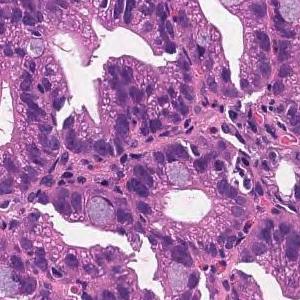
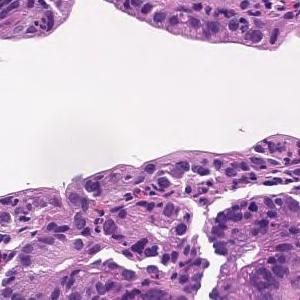
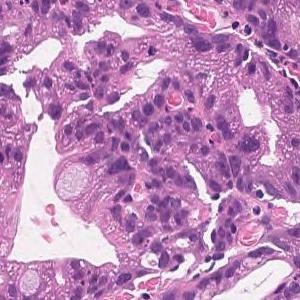
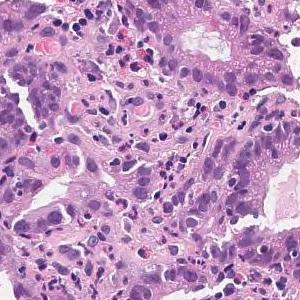
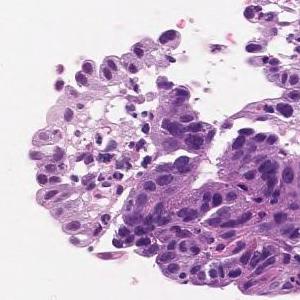
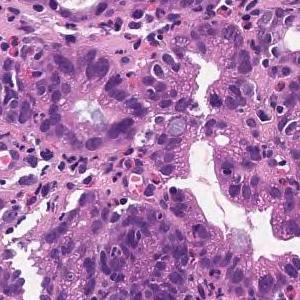
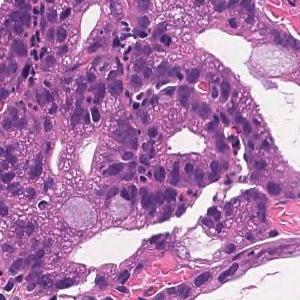
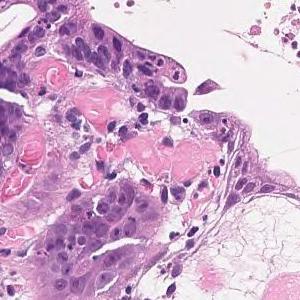
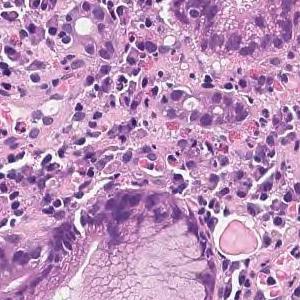
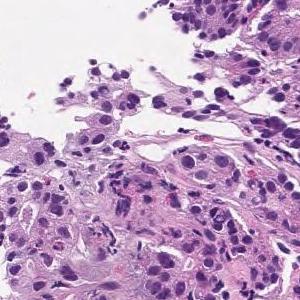
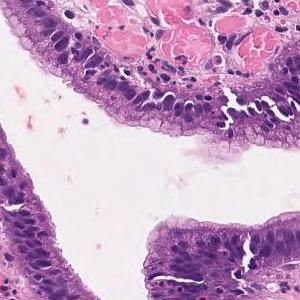
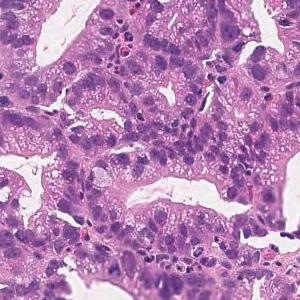
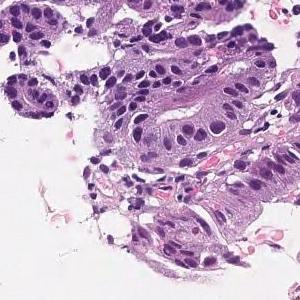
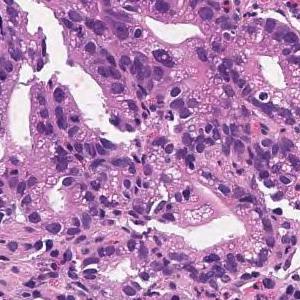
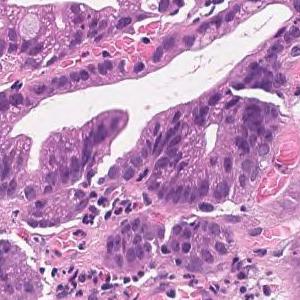
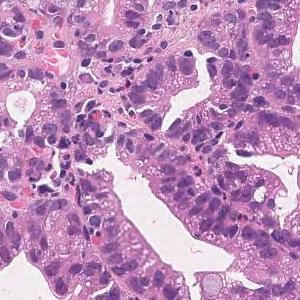
16 patches cut from one gastric biopsy slide · H&E stain · 20× magnification.
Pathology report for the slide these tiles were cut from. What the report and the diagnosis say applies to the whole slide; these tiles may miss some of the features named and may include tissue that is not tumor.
On the superficial epithelium, tumor tissue that infiltrates by forming medium-sized papillary or small irregular ducts is observed. Papillary adenocarcinoma
